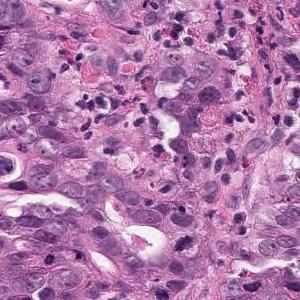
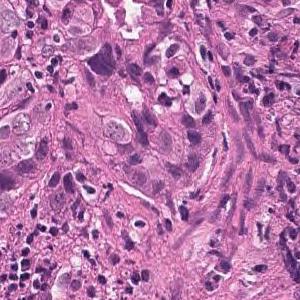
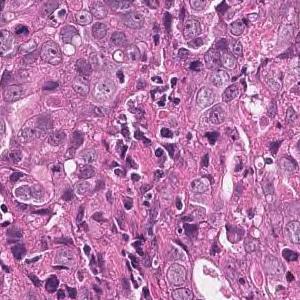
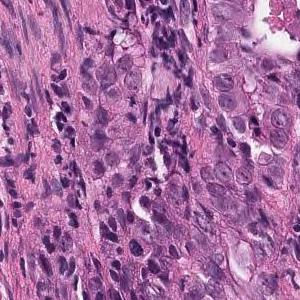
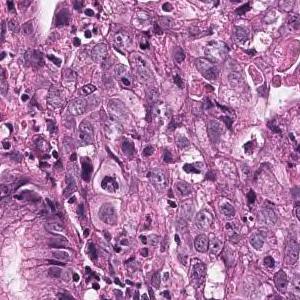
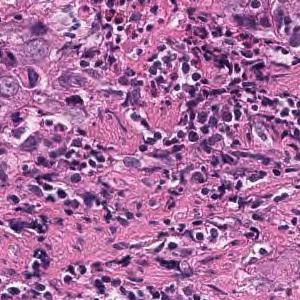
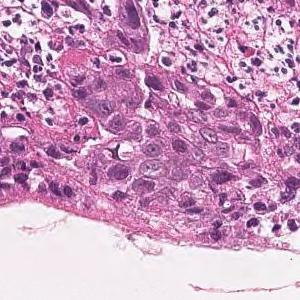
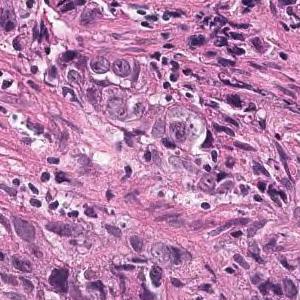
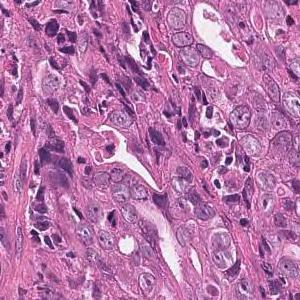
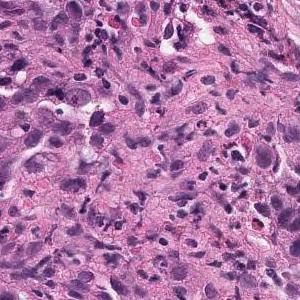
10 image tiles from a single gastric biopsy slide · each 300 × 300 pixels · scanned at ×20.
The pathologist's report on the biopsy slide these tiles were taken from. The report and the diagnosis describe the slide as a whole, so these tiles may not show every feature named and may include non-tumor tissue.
Tumor tissue that infiltrates and proliferates with alveolar or cord-like structures with small glandular cavities in the superficial to submucosal layers is observed. moderately differentiated tubular adenocarcinoma
